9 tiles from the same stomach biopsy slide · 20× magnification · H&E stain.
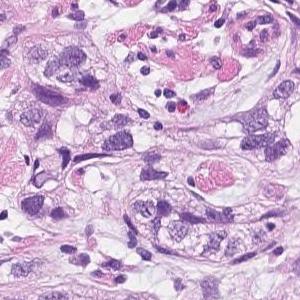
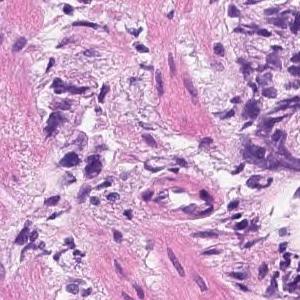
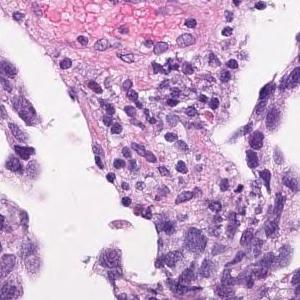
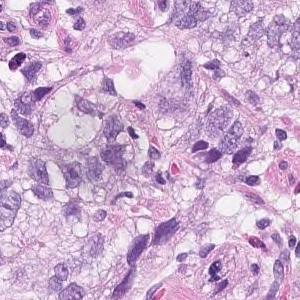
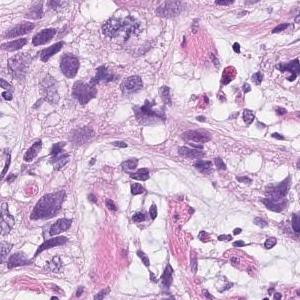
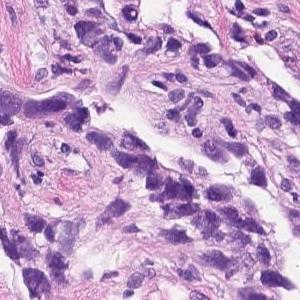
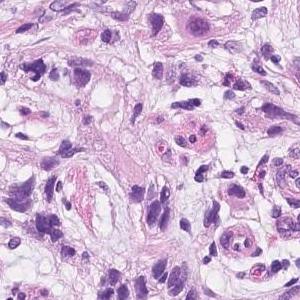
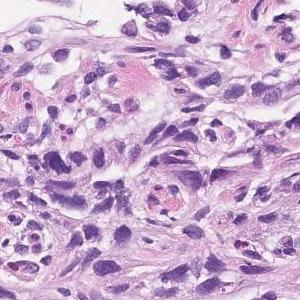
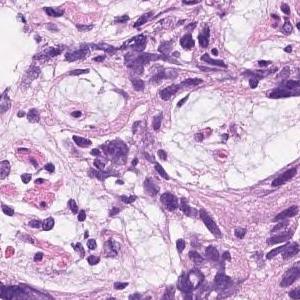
Pathology report for the slide these tiles were cut from. What the report and the diagnosis say applies to the whole slide; these tiles may miss some of the features named and may include tissue that is not tumor.
In the superficial epithelium, tumor tissue that invades by forming medium-sized to small, irregular ducts is observed. Moderately differentiated adenocarcinoma.
Tumor subtype: moderately differentiated tubular adenocarcinoma.
